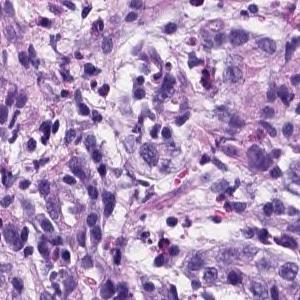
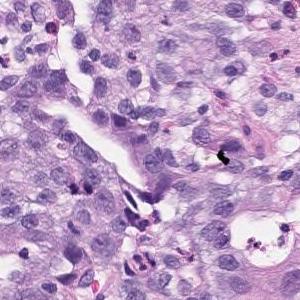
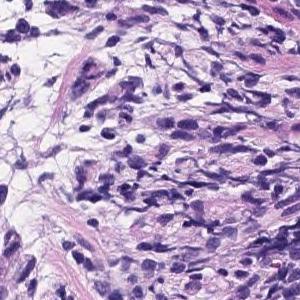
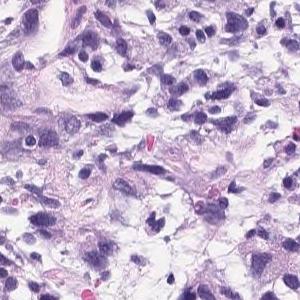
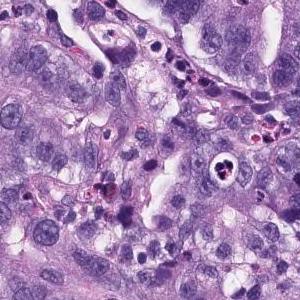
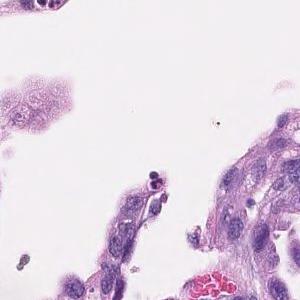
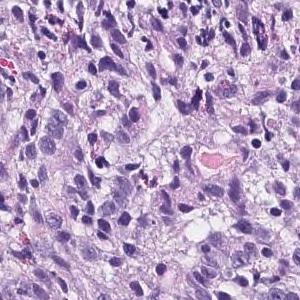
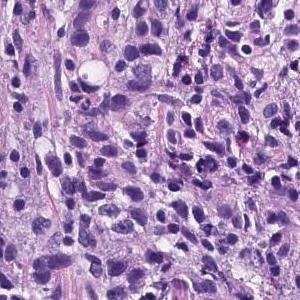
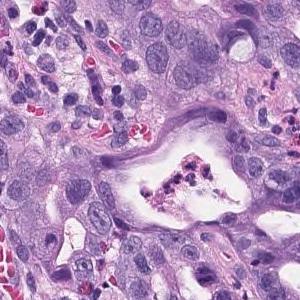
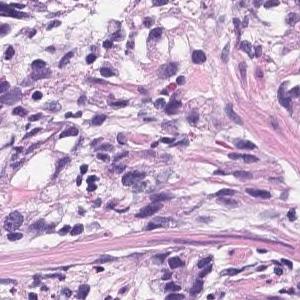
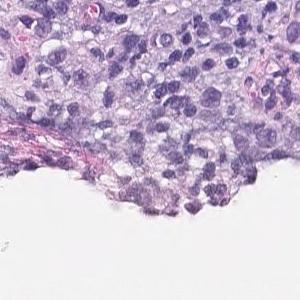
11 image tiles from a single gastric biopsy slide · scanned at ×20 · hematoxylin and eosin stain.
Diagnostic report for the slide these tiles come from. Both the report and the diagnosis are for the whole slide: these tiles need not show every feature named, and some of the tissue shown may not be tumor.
There are atypical l cells with atypical nuclei forming cord-like or irregular atypical ducts from solidity and proliferating in a comprehensive manner. Poorly differentiated adenocarcinoma, Moderately differentiated adenocarcinoma (poorly differentiated adenocarcinoma, solid type moderately differentiated tubular adenocarcinoma)
Classified as moderately to poorly differentiated adenocarcinoma.
The solid type named here is a Japanese Classification of Gastric Carcinoma category; WHO 2019 calls it tubular adenocarcinoma, poorly differentiated.
